10 tiles cut from one stomach biopsy slide · 300×300 px each · hematoxylin and eosin stain · ×20.
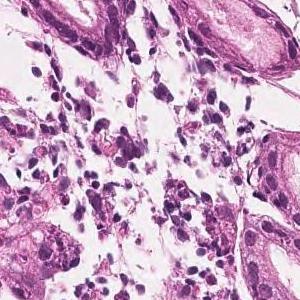
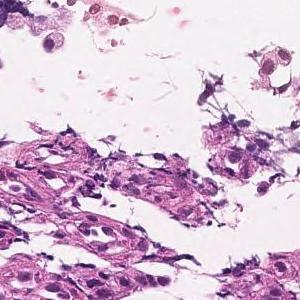
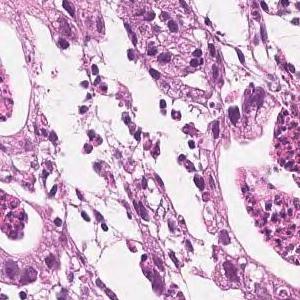
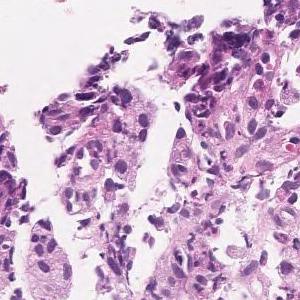
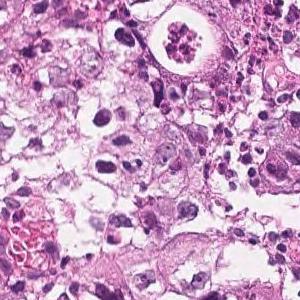
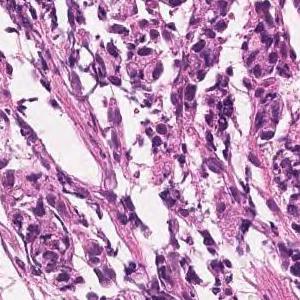
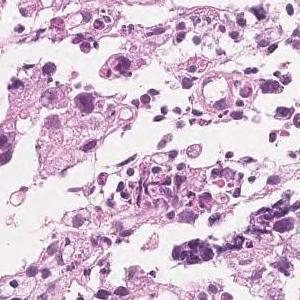
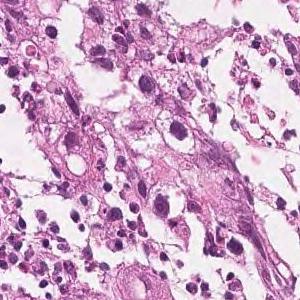
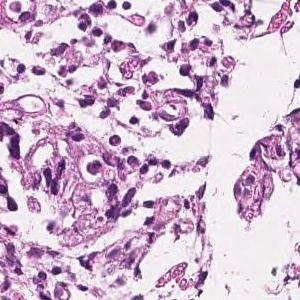
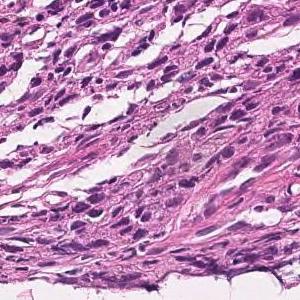
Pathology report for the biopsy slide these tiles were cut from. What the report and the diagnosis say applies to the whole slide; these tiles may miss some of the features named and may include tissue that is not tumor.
In the superficial epithelium, medium to small, irregular glandular ducts are formed, and in some parts, the glandular ducts are fused, and in other parts, small cord-like infiltrating tumor tissue is observed. Moderately to poorly differentiated adenocarcinoma.
